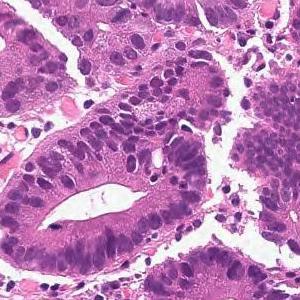
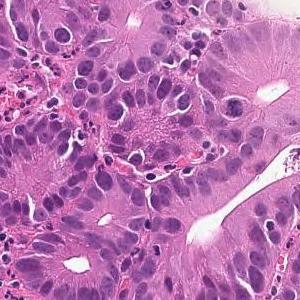
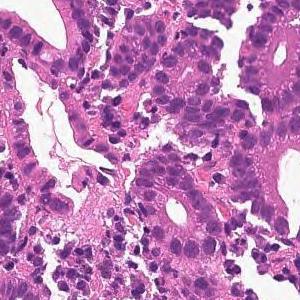
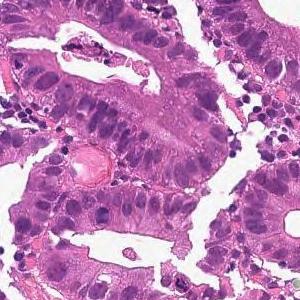
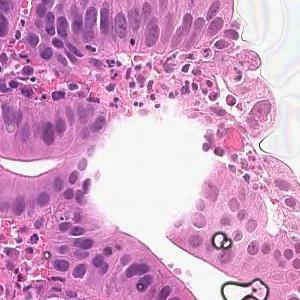
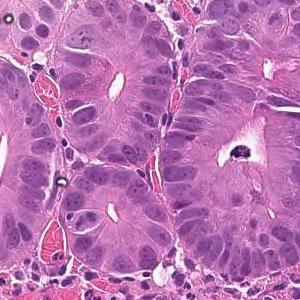
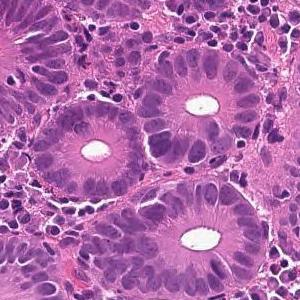
×20 · hematoxylin and eosin stain · 7 image tiles from a single gastric biopsy slide · each 300 × 300 pixels.
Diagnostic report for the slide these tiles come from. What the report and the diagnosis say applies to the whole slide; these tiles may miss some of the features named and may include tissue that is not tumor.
From the superficial epithelium to the muscularis mucosae, tumor tissue consisting of medium-sized and irregular glandular ducts infiltrating is observed. Well differentiated tubular adenocarcinoma
